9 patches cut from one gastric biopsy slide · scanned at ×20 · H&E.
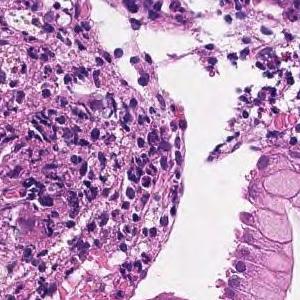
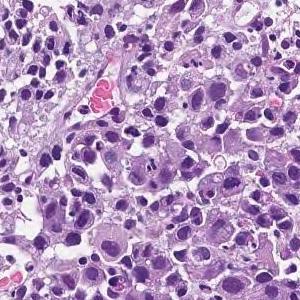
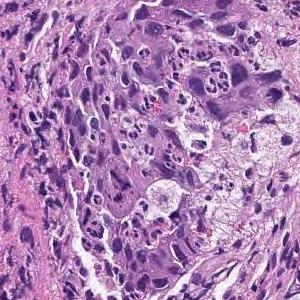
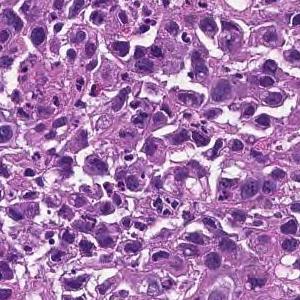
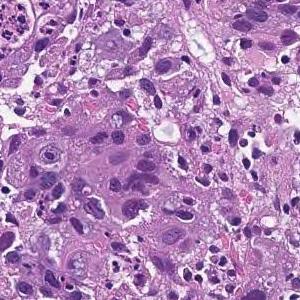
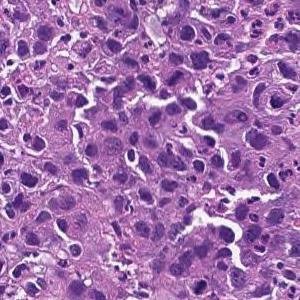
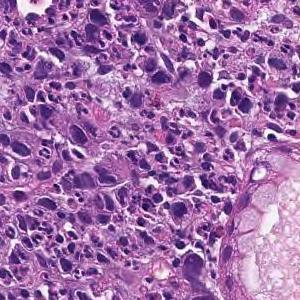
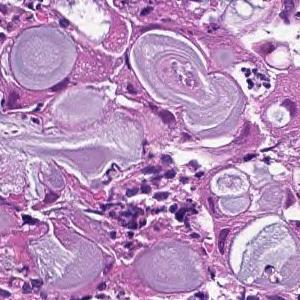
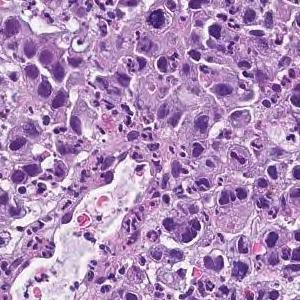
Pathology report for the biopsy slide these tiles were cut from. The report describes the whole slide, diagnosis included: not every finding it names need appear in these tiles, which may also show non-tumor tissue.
The superficial epithelium shows a large sheet-like shape, and some tumor tissue infiltrates with small irregular ducts. Poorly differentiated adenocarcinoma, solid-type
Histological subtype: Poorly differentiated adenocarcinoma, solid type, a category of the Japanese Classification of Gastric Carcinoma; in the WHO 2019 classification it is tubular adenocarcinoma, poorly differentiated.
